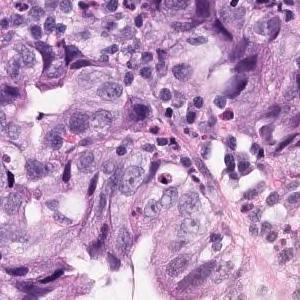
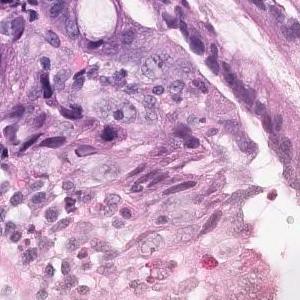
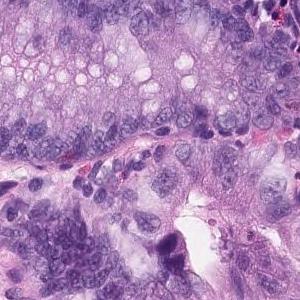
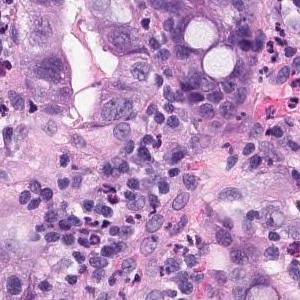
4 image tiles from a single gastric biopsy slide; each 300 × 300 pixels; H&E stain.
Diagnostic report for the slide these tiles come from. The report and the diagnosis describe the slide as a whole, so these tiles may not show every feature named and may include non-tumor tissue.
In the superficial epithelium, tumor tissue that invades by forming medium-sized to small irregular glandular ducts is observed. Moderately differentiated adenocarcinoma.
Subtype: Moderately differentiated tubular adenocarcinoma.
